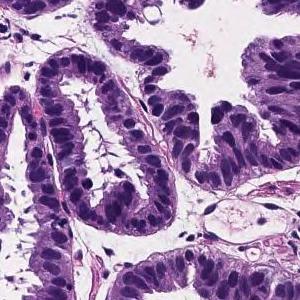
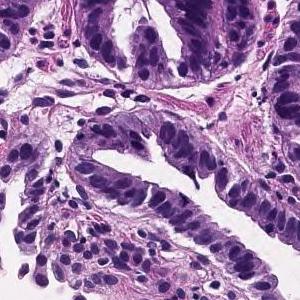
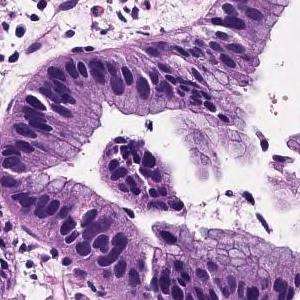
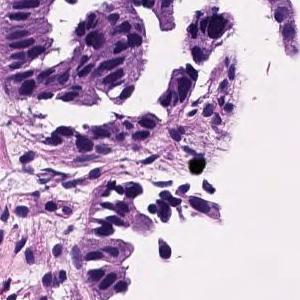
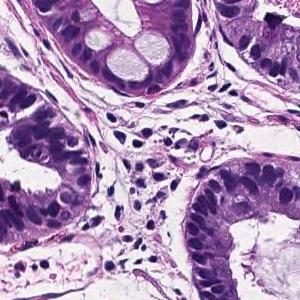
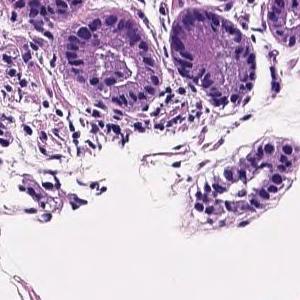
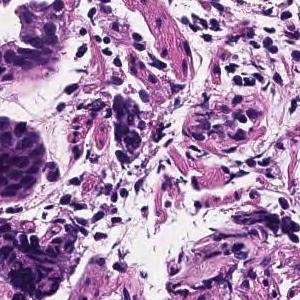
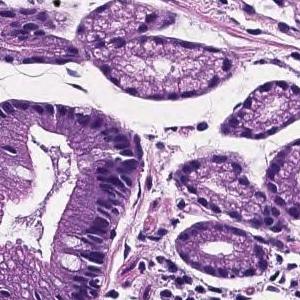
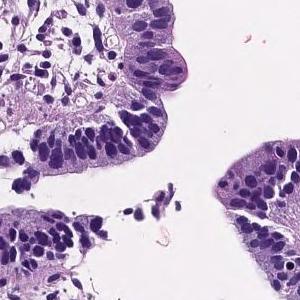
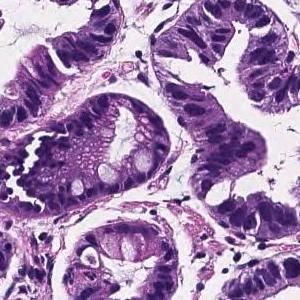
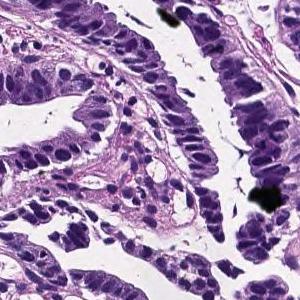
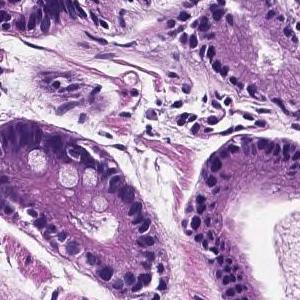
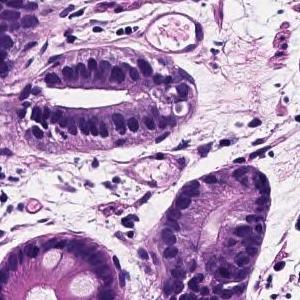
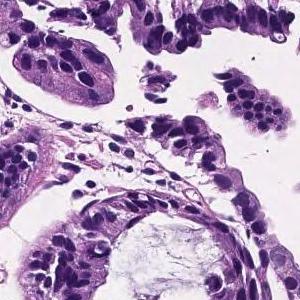
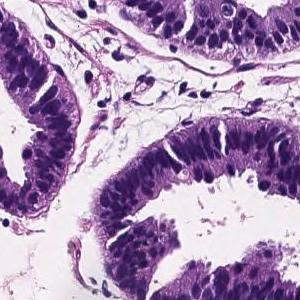
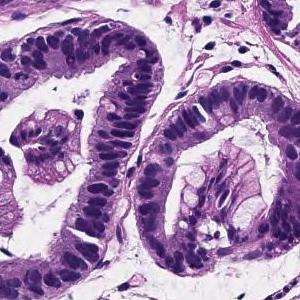
16 tiles from the same stomach biopsy slide, 300×300 px each, H&E stain, 20× magnification.
Pathology report for the biopsy slide these tiles were cut from. The report and the diagnosis describe the slide as a whole, so these tiles may not show every feature named and may include non-tumor tissue.
Tumor cells are large, highly columnar, large club-shaped nuclei, and are associated with chromatin aggregation. Papillary adenocarcinoma.
